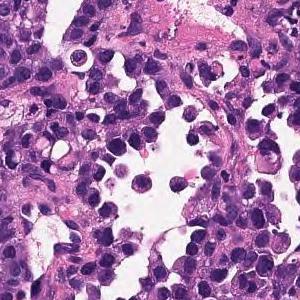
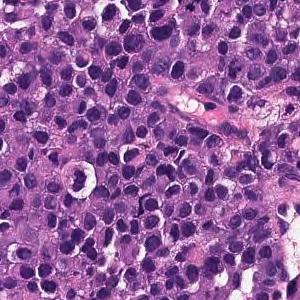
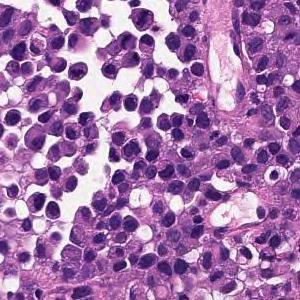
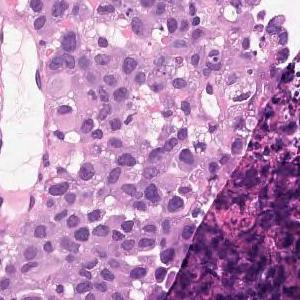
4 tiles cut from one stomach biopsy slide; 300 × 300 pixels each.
Diagnostic report for the slide these tiles come from. The report and the diagnosis cover the entire slide, so not every feature they name need be visible here, and some tissue shown may not be tumor.
Large sheet-like or diffusely infiltrating tumor tissue is found in the superficial epithelium. Poorly differentiated adenocarcinoma, solid-type
Classified as poorly differentiated adenocarcinoma, solid type, a category of the Japanese Classification of Gastric Carcinoma; in the WHO 2019 classification it is tubular adenocarcinoma, poorly differentiated.
